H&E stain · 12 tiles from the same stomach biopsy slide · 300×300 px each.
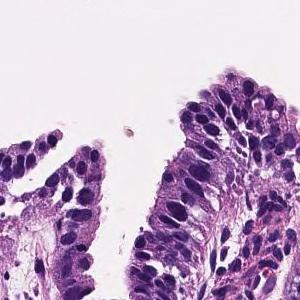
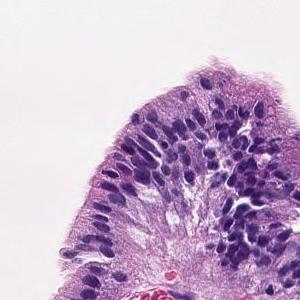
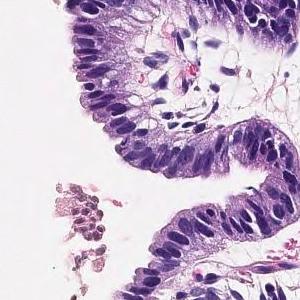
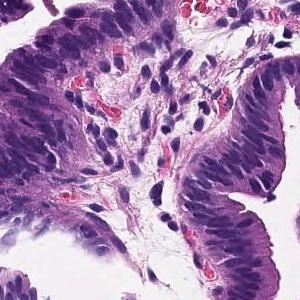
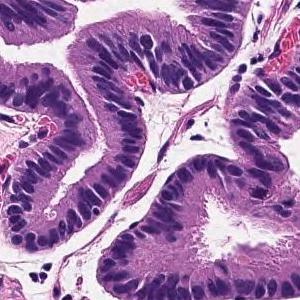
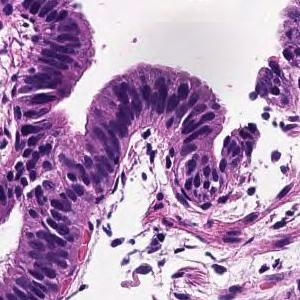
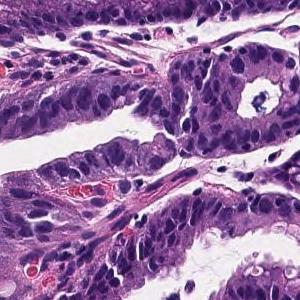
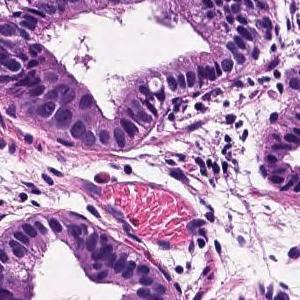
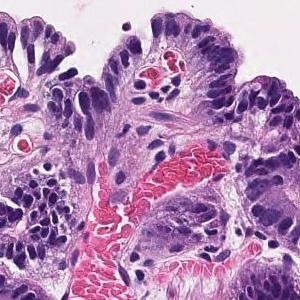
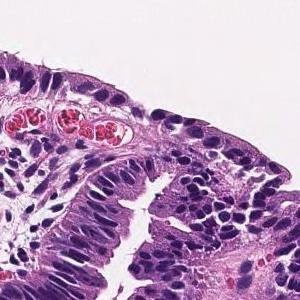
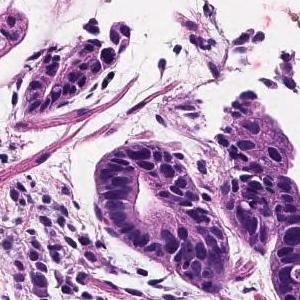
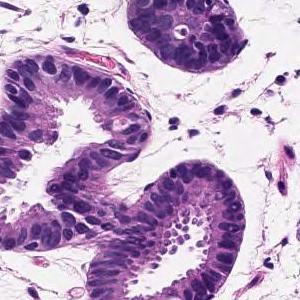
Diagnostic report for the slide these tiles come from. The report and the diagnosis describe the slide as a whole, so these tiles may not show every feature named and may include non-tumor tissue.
Tumor cells are large, highly columnar, large club-shaped nuclei, and are associated with chromatin aggregation. Papillary adenocarcinoma.
